14 patches cut from one gastric biopsy slide; each 300 × 300 pixels; hematoxylin and eosin stain; ×20.
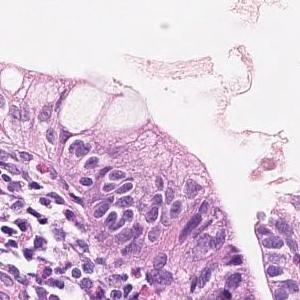
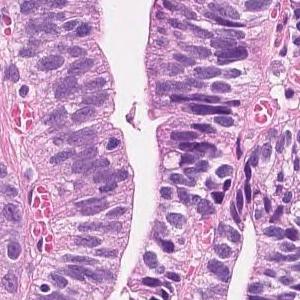
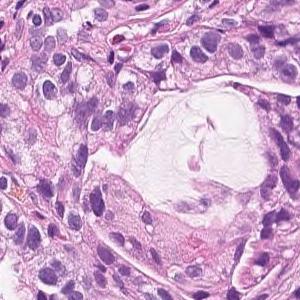
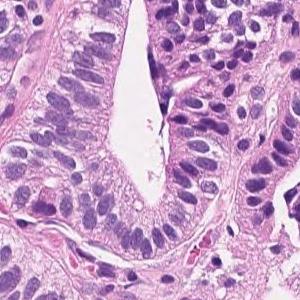
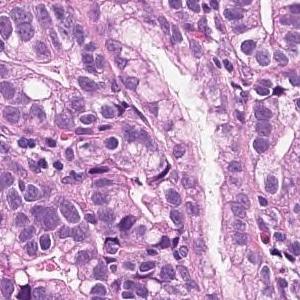
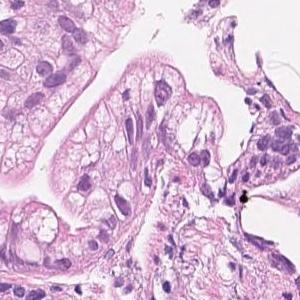
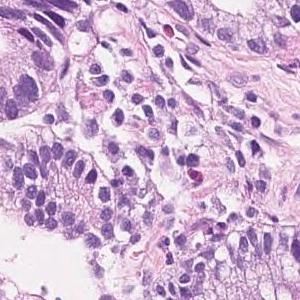
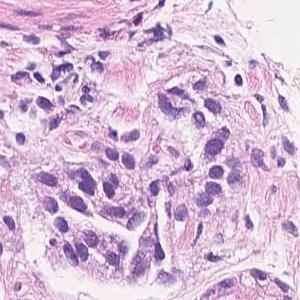
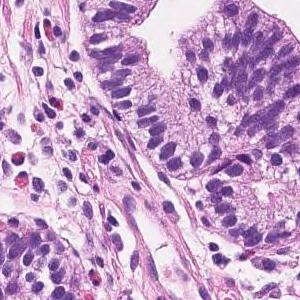
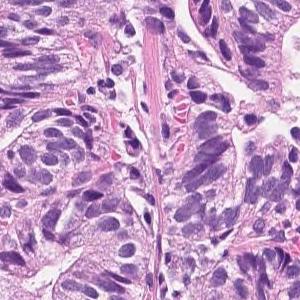
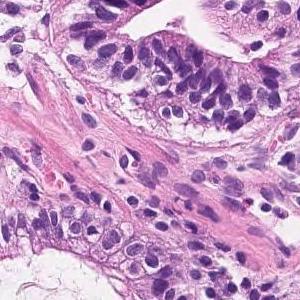
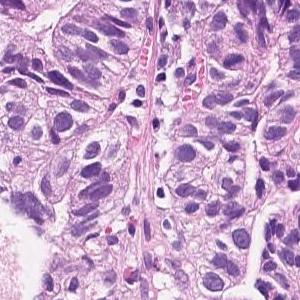
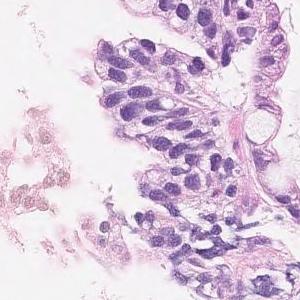
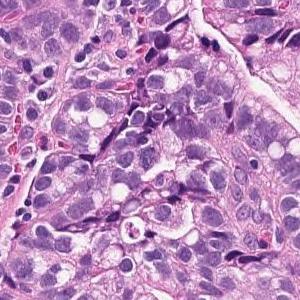
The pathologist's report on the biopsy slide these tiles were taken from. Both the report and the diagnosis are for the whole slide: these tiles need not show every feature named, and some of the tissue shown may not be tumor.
On the superficial epithelium, there is a tumor tissue consisting of medium to small, irregular tubules that are partially fused and proliferated. Well to moderately differentiated tubular adenocarcinoma
